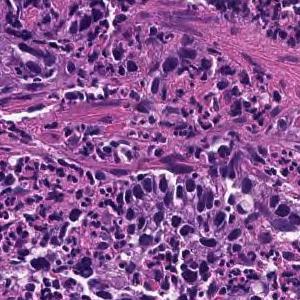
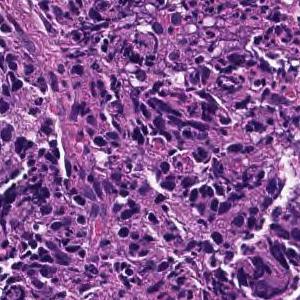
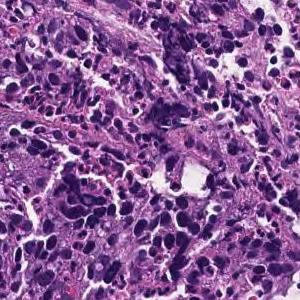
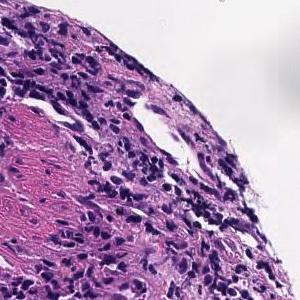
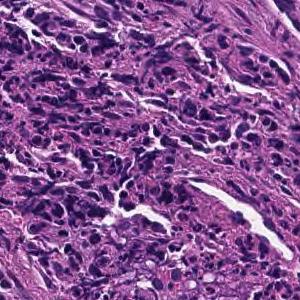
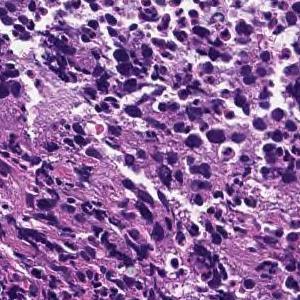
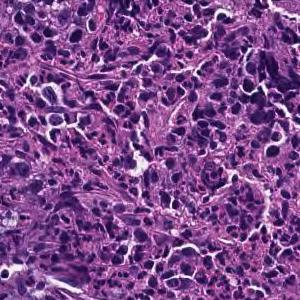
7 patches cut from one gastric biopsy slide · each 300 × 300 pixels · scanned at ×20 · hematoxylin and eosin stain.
Pathology report for the biopsy slide these tiles were cut from. Both the report and the diagnosis are for the whole slide: these tiles need not show every feature named, and some of the tissue shown may not be tumor.
Tumor tissue consisting of cord-like or small, irregular glandular ducts fused and infiltrated is observed in the superficial epithelium. Poorly differentiated adenocarcinoma, non-solid type
"Non-solid type" is a category of the Japanese Classification of Gastric Carcinoma.
